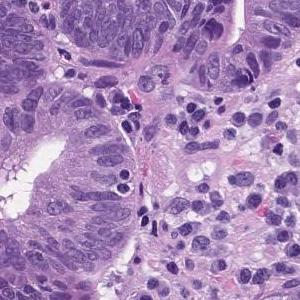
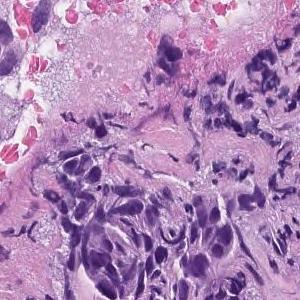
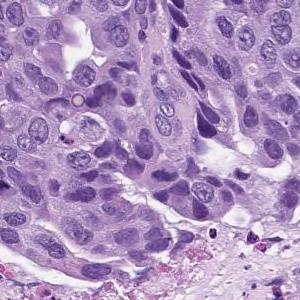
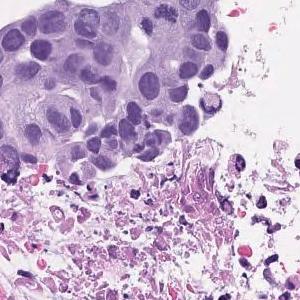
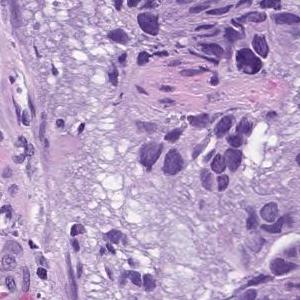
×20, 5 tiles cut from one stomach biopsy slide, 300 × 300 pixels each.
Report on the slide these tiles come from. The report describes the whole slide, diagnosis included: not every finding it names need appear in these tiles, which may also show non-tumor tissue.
In the superficial epithelium, tumor tissue that invades by forming medium-sized to small, irregular ducts is observed. moderately differentiated tubular adenocarcinoma.
